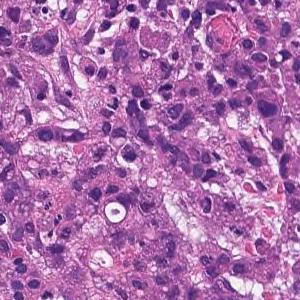
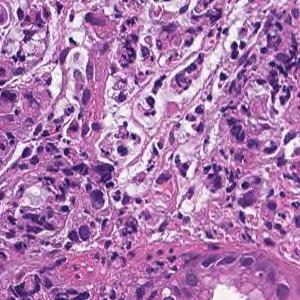
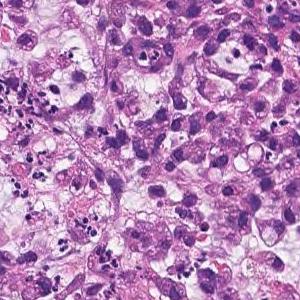
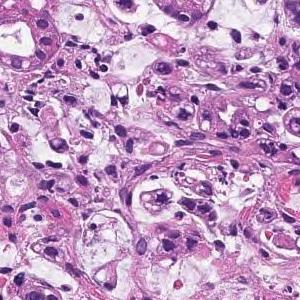
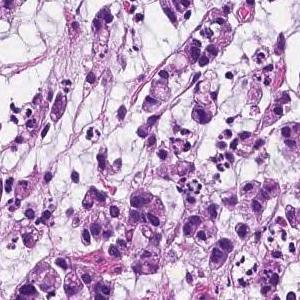
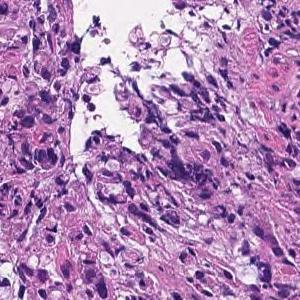
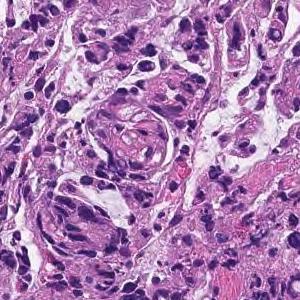
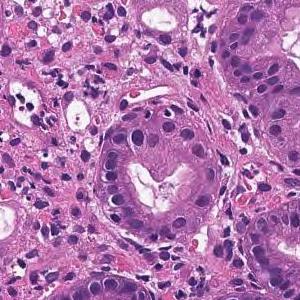
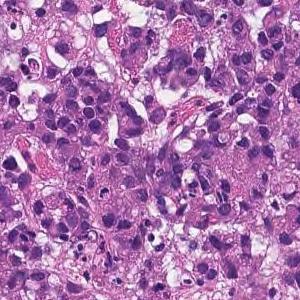
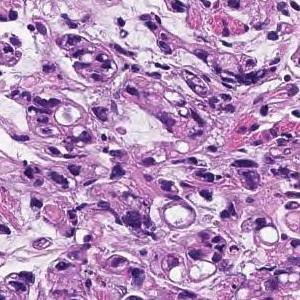
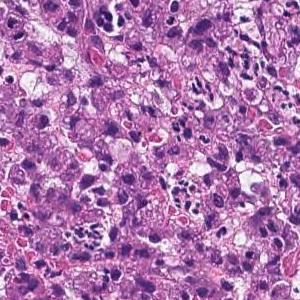
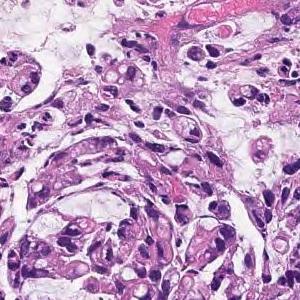
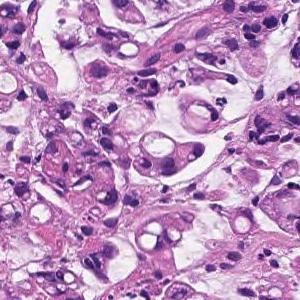
13 tiles cut from one stomach biopsy slide; hematoxylin and eosin stain; 20× magnification.
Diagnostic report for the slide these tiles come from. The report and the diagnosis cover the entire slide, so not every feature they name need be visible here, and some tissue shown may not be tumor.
Tumor tissue consisting of cord-like or small, irregular glandular ducts fused and infiltrated is observed in the superficial epithelium. Poorly differentiated adenocarcinoma, non-solid type
The term "non-solid type" comes from the Japanese Classification of Gastric Carcinoma.
